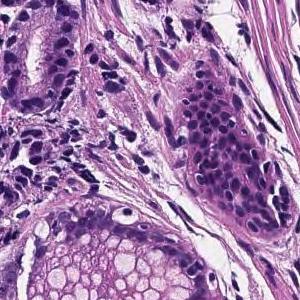
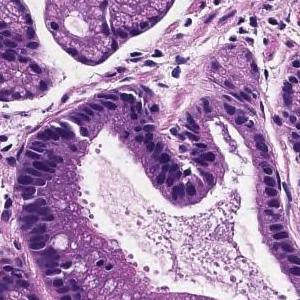
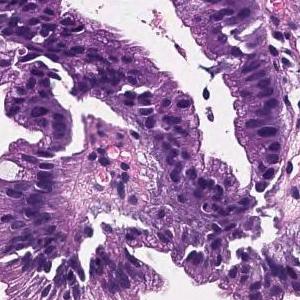
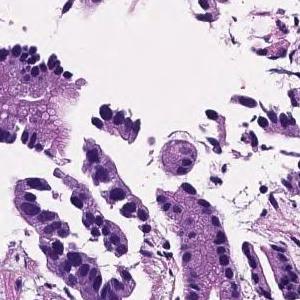
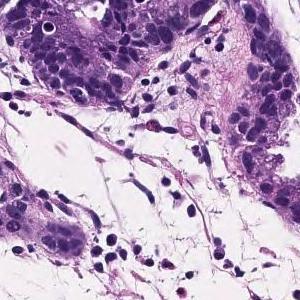
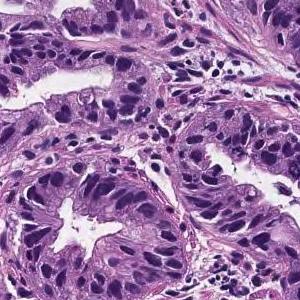
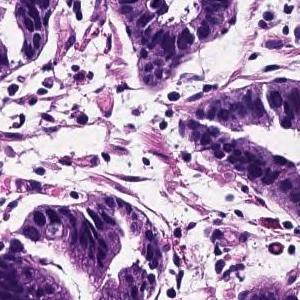
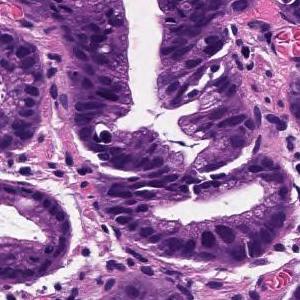
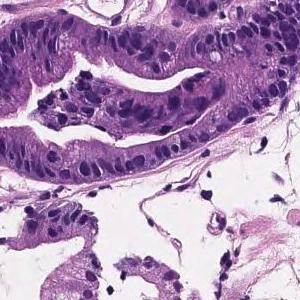
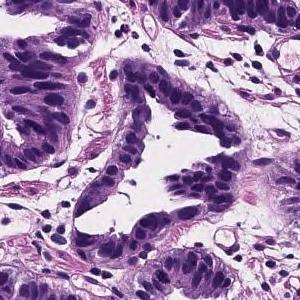
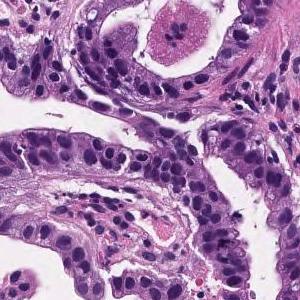
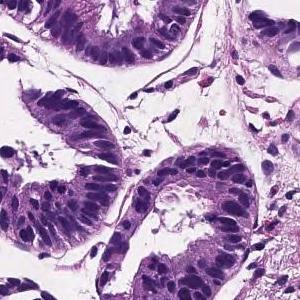
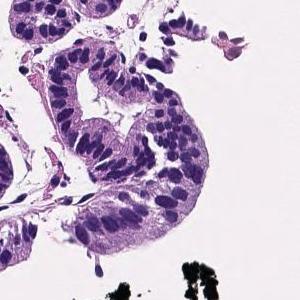
H&E; 13 image tiles from a single gastric biopsy slide; 300×300 px each.
Diagnostic report for the slide these tiles come from. The report and the diagnosis describe the slide as a whole, so these tiles may not show every feature named and may include non-tumor tissue.
Tumor cells are large, highly columnar, large club-shaped nuclei, and are associated with chromatin aggregation. Papillary adenocarcinoma.
